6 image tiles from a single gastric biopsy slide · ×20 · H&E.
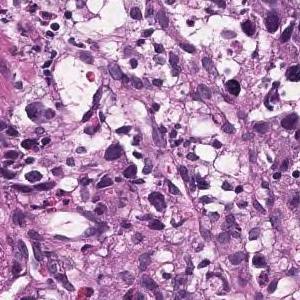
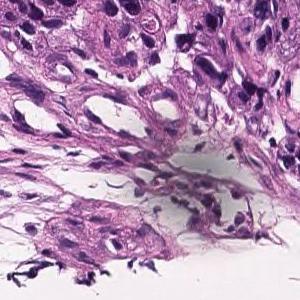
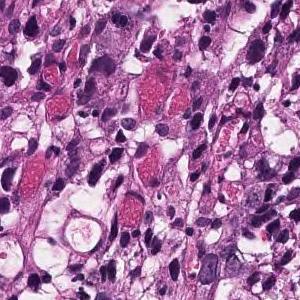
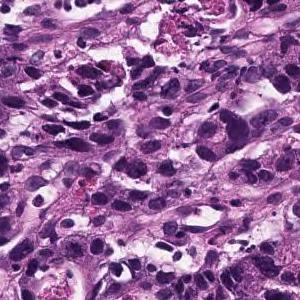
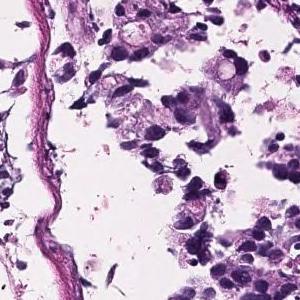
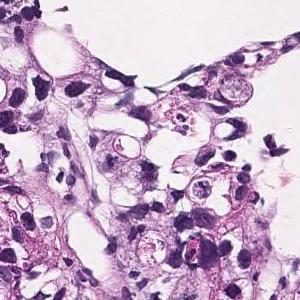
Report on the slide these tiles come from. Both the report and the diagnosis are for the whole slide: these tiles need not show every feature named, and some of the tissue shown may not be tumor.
Tumor tissue consisting of medium-sized, cord-like or irregular glandular infiltration is observed in the superficial epithelium. Poorly differentiated adenocarcinoma, non-solid type or moderately differentiated tubular adenocarcinoma
The non-solid type named here is a Japanese Classification of Gastric Carcinoma category.
